×20; hematoxylin and eosin stain; 10 patches cut from one gastric biopsy slide; 300 × 300 pixels each.
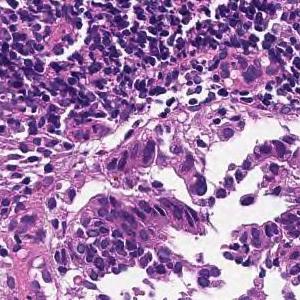
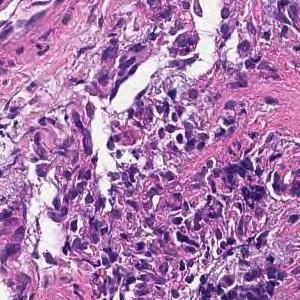
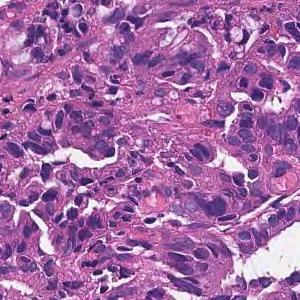
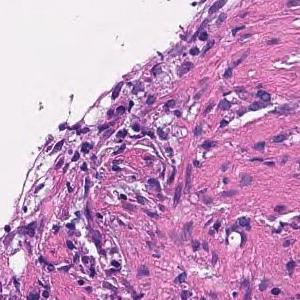
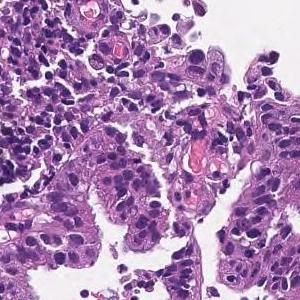
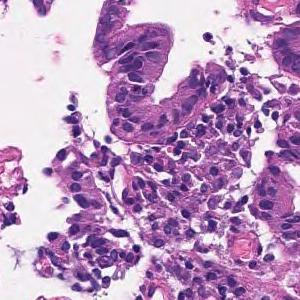
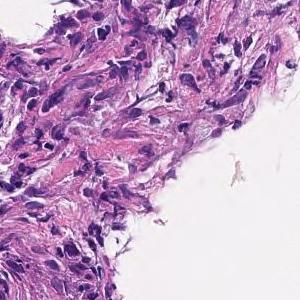
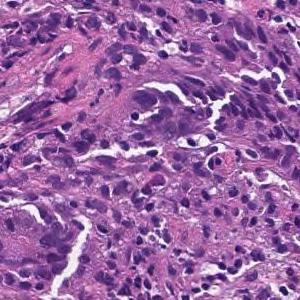
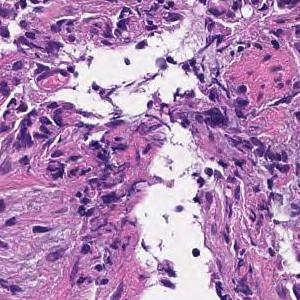
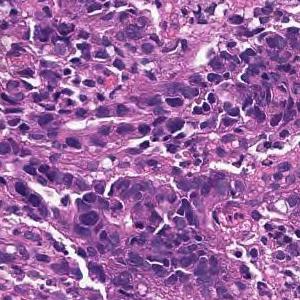
Report on the slide these tiles come from. The report describes the whole slide, diagnosis included: not every finding it names need appear in these tiles, which may also show non-tumor tissue.
On the superficial epithelium, tumor tissue consisting of large, irregular glandular ducts partially fused and infiltrated is observed. Well to moderately differentiated tubular adenocarcinoma (well differentiated tubular adenocarcinoma, moderately differentiated tubular adenocarcinoma)
Histological subtype: Well to moderately differentiated tubular adenocarcinoma.
